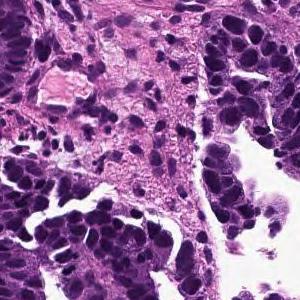
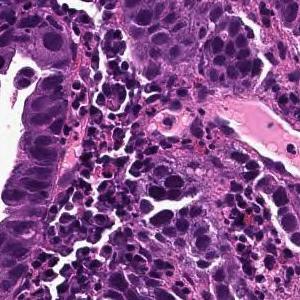
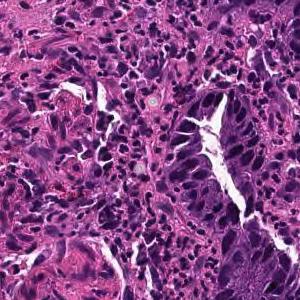
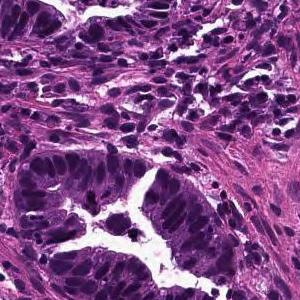
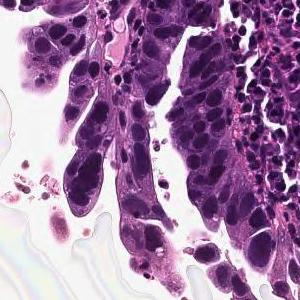
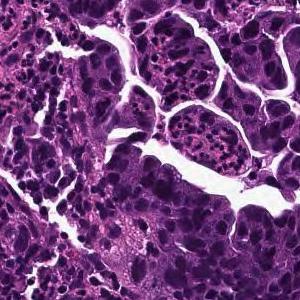
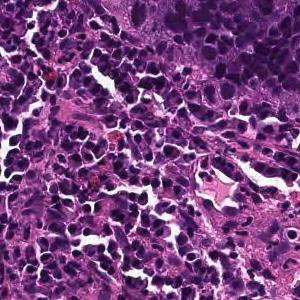
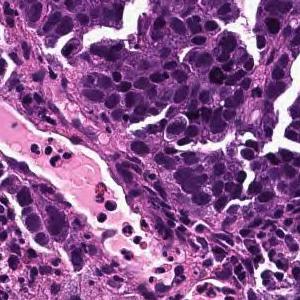
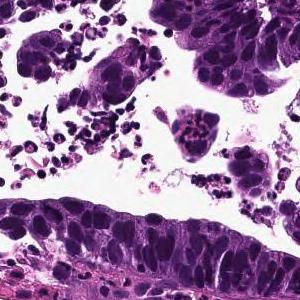
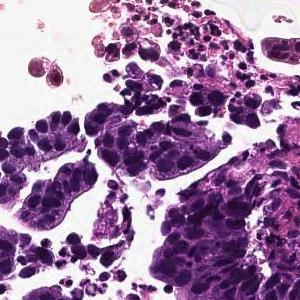
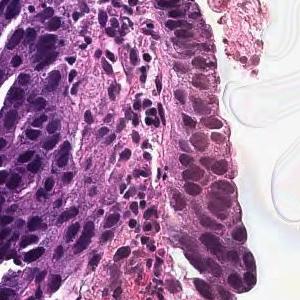
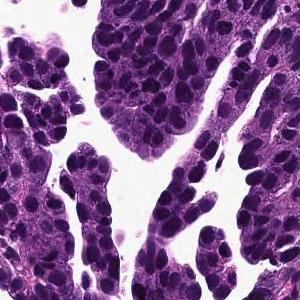
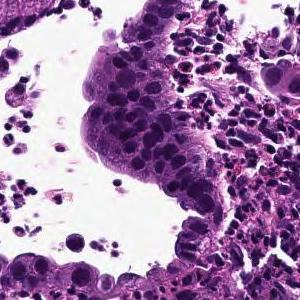
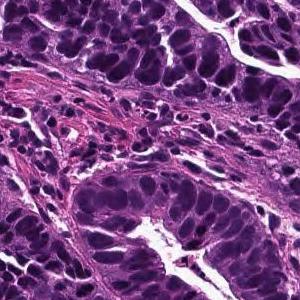
14 patches cut from one gastric biopsy slide, hematoxylin and eosin stain, scanned at ×20.
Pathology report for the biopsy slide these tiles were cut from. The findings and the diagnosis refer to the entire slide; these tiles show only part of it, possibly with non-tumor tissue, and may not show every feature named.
Tumor cells are large, highly columnar, large club-shaped nuclei, and are associated with chromatin aggregation. Papillary adenocarcinoma.
